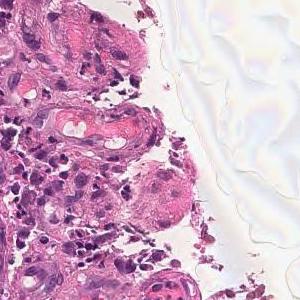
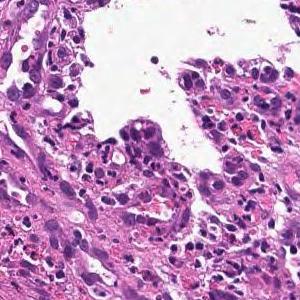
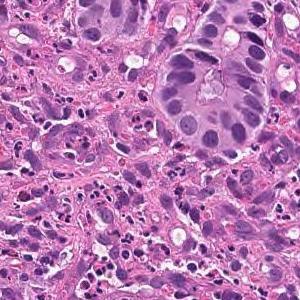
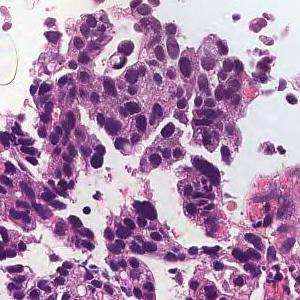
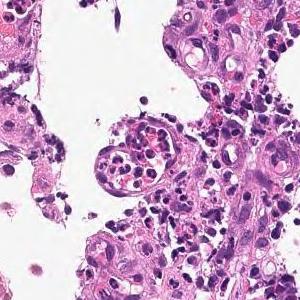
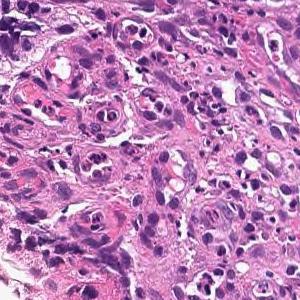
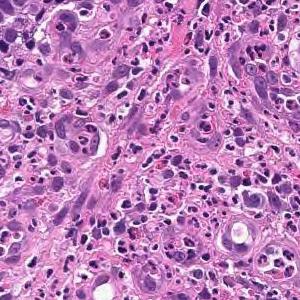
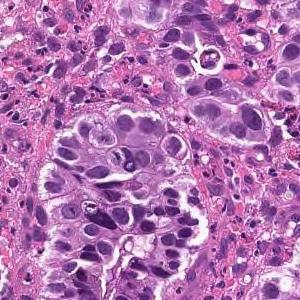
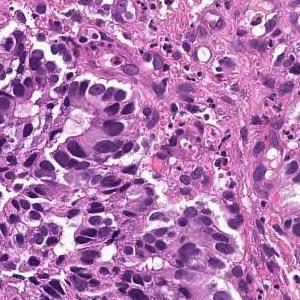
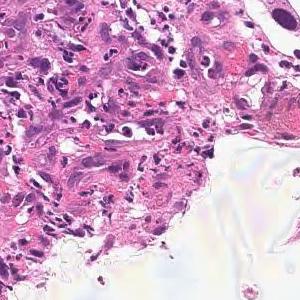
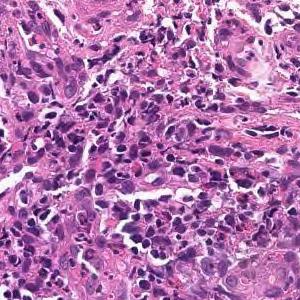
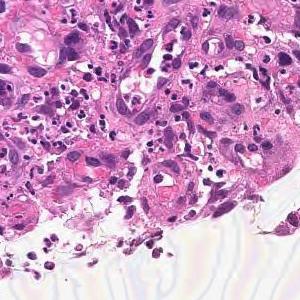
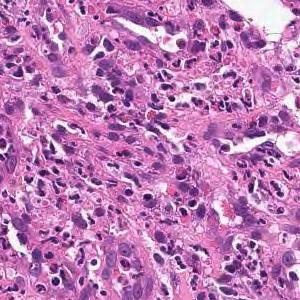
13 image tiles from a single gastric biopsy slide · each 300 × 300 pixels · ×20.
Report on the slide these tiles come from. What the report and the diagnosis say applies to the whole slide; these tiles may miss some of the features named and may include tissue that is not tumor.
On the superficial epithelium, tumor tissue consisting of large irregular glandular ducts partially fused and infiltrated is observed. Well to moderately differentiated tubular adenocarcinoma (well differentiated tubular adenocarcinoma, moderately differentiated tubular adenocarcinoma)
Histological subtype: Well to moderately differentiated tubular adenocarcinoma.
